×20; 10 tiles from the same stomach biopsy slide.
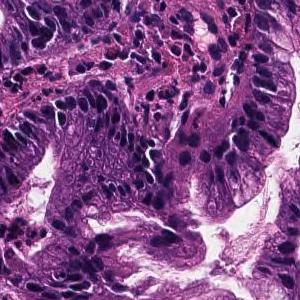
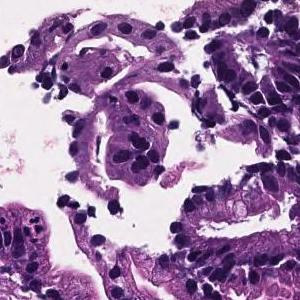
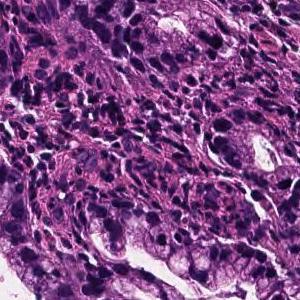
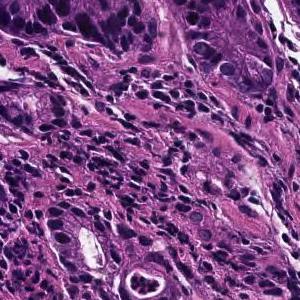
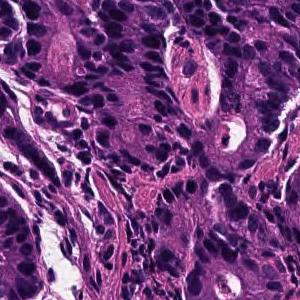
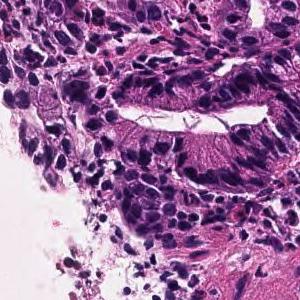
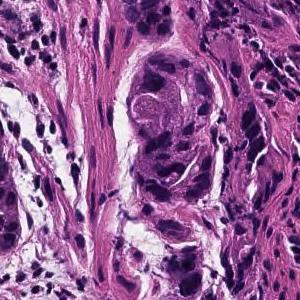
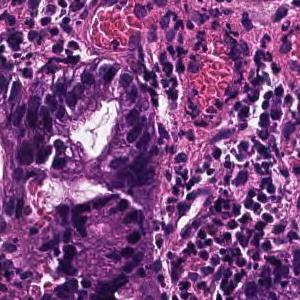
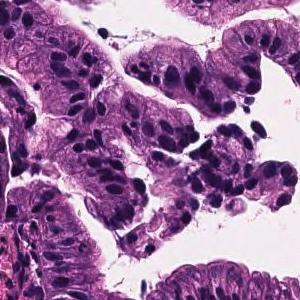
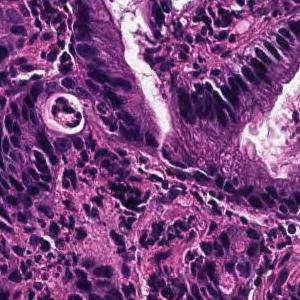
The pathologist's report on the biopsy slide these tiles were taken from. The report and the diagnosis describe the slide as a whole, so these tiles may not show every feature named and may include non-tumor tissue.
From the superficial epithelium to the muscularis mucosae, tumor tissue consisting of medium-sized and irregular glandular ducts infiltrating is observed. Well differentiated tubular adenocarcinoma
